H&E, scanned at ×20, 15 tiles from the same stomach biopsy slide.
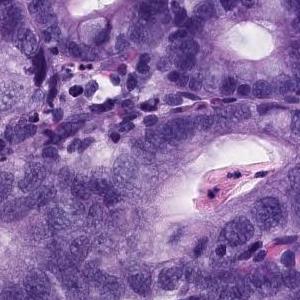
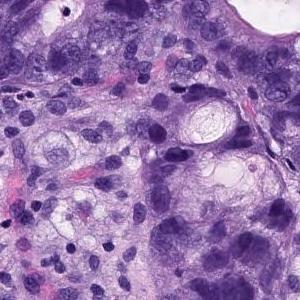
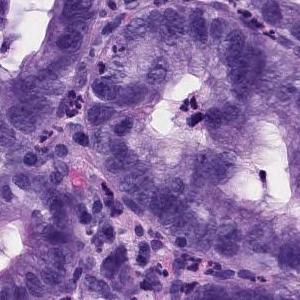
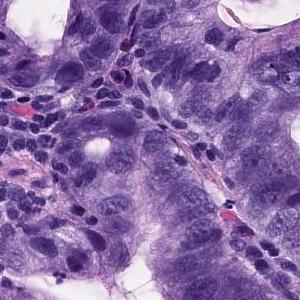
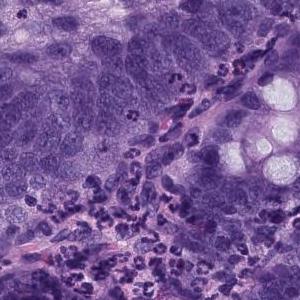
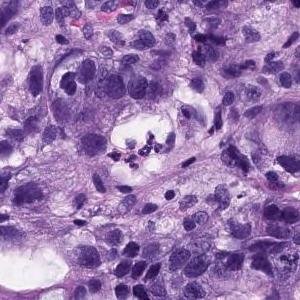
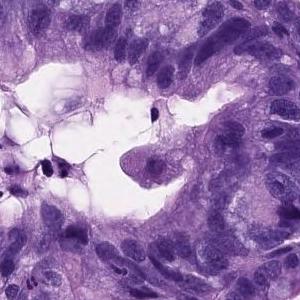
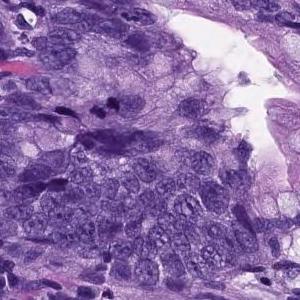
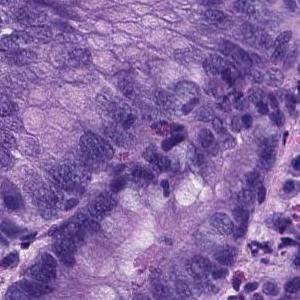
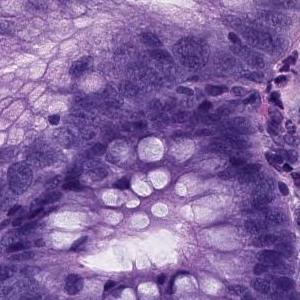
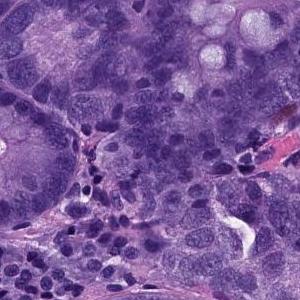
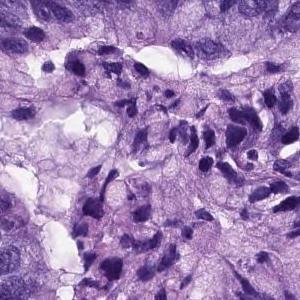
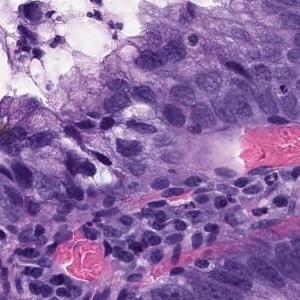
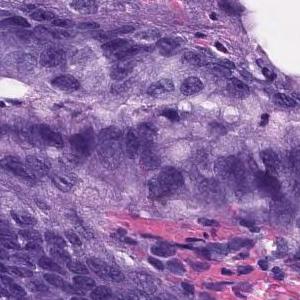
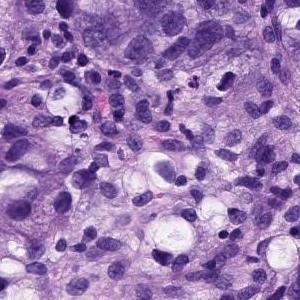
Report on the slide these tiles come from. Both the report and the diagnosis are for the whole slide: these tiles need not show every feature named, and some of the tissue shown may not be tumor.
There are large atypical epithelial cells infiltrating and proliferating while forming atypical glandular cavities showing a fusion tendency. Moderately differentiated tubular adenocarcinoma.
